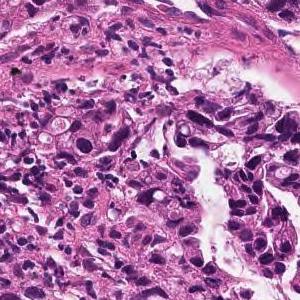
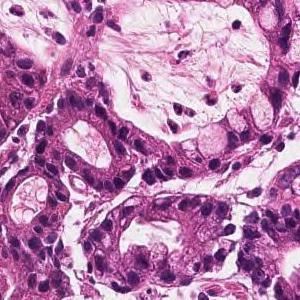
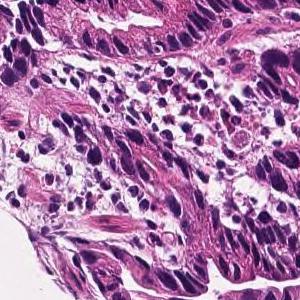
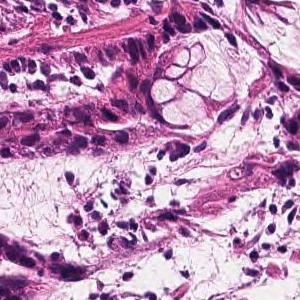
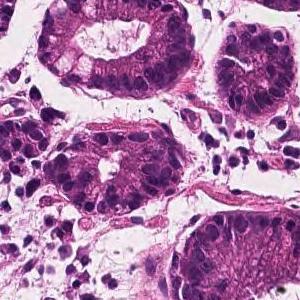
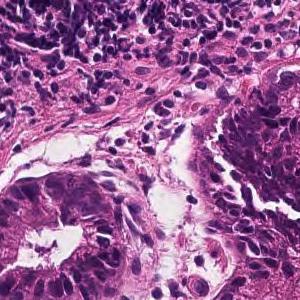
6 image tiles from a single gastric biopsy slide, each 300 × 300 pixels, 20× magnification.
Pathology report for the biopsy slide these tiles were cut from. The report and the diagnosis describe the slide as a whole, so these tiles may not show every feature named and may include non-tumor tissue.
In the superficial epithelium, tumor tissue that invades by forming medium-sized to small, irregular ducts is observed. moderately differentiated tubular adenocarcinoma.
